4 tiles cut from one stomach biopsy slide · 300×300 px each · H&E.
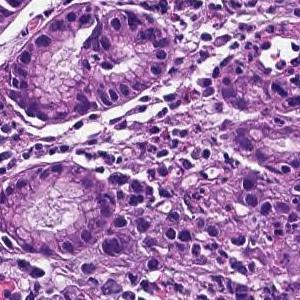
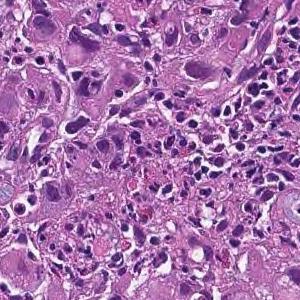
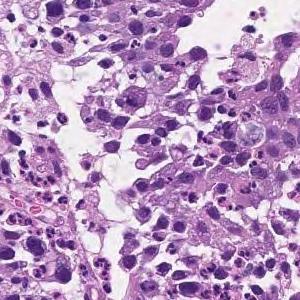
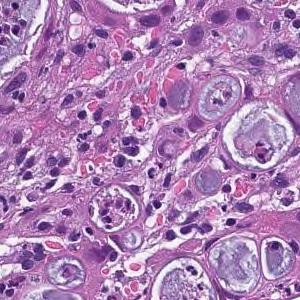
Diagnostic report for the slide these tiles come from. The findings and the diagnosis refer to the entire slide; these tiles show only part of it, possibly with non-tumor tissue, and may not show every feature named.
The superficial epithelium shows a large sheet-like shape, and some tumor tissue infiltrates with small irregular ducts. Poorly differentiated adenocarcinoma, solid-type
Classified as poorly differentiated adenocarcinoma, solid type. This name comes from the Japanese Classification of Gastric Carcinoma; the WHO 2019 classification calls it tubular adenocarcinoma, poorly differentiated.
